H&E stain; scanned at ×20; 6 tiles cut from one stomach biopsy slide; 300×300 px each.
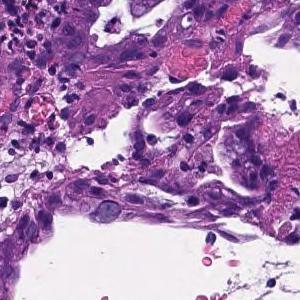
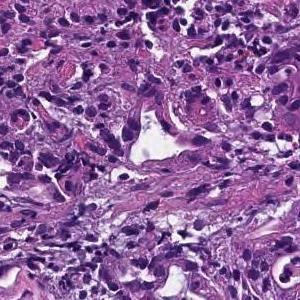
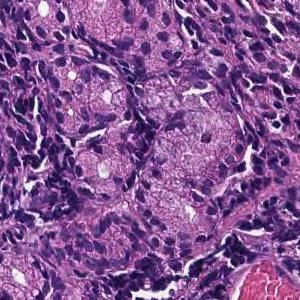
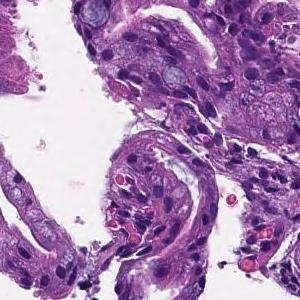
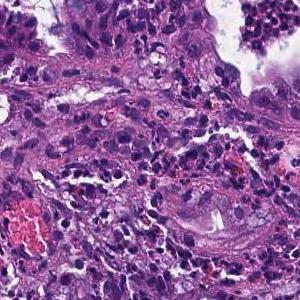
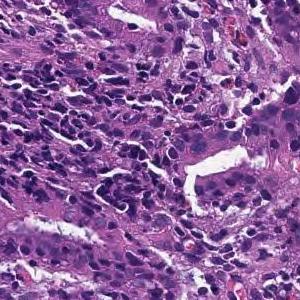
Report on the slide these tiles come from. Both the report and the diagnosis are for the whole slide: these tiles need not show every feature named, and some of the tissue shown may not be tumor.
In the superficial epithelium, tumor tissue that invades by forming medium-sized to small, irregular ducts is observed. moderately differentiated tubular adenocarcinoma.
